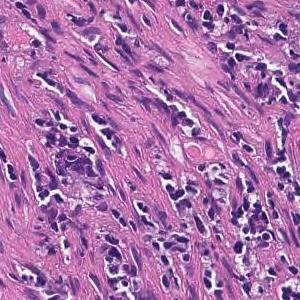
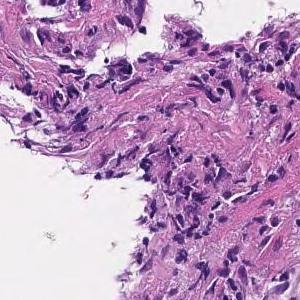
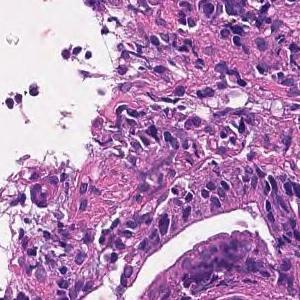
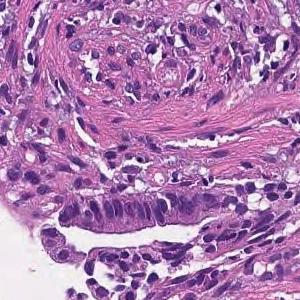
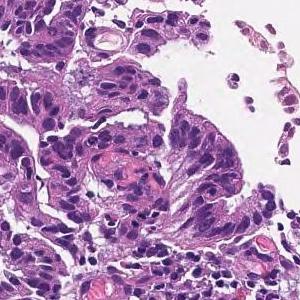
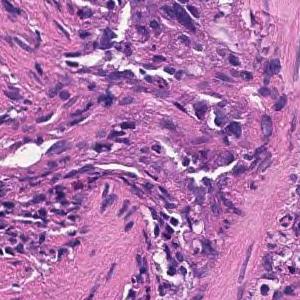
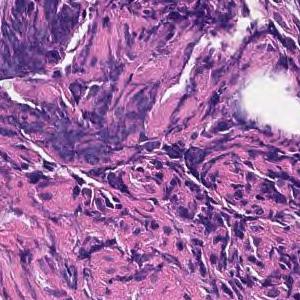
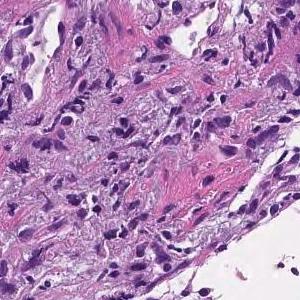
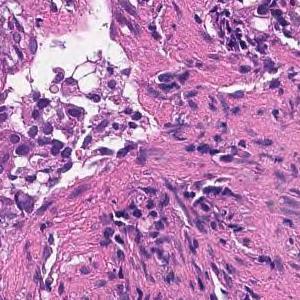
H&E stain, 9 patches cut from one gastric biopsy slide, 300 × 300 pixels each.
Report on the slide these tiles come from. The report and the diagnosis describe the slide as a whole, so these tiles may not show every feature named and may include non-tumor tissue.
On the superficial epithelium, tumor tissue consisting of large, irregular glandular ducts partially fused and infiltrated is observed. Well to moderately differentiated tubular adenocarcinoma (well differentiated tubular adenocarcinoma, moderately differentiated tubular adenocarcinoma)
Subtype: Well to moderately differentiated tubular adenocarcinoma.
